×20 · 11 image tiles from a single gastric biopsy slide · 300×300 px each.
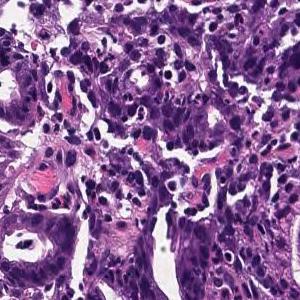
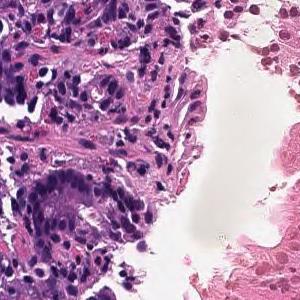
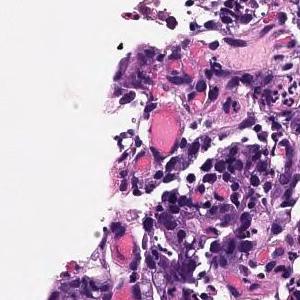
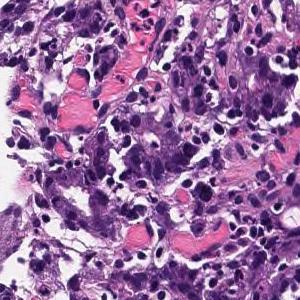
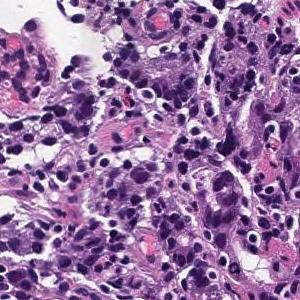
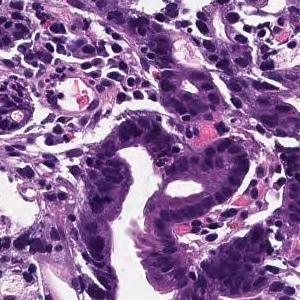
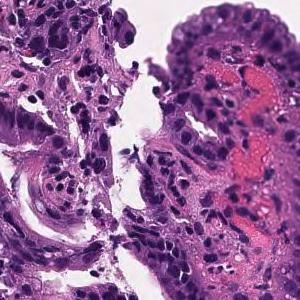
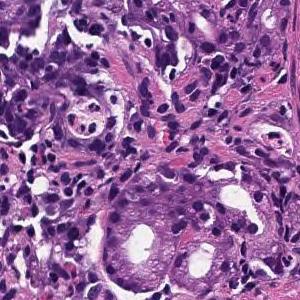
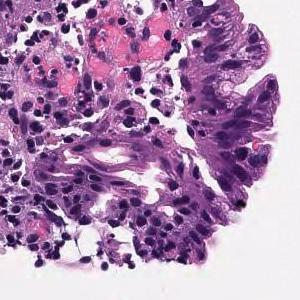
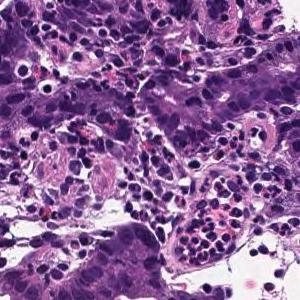
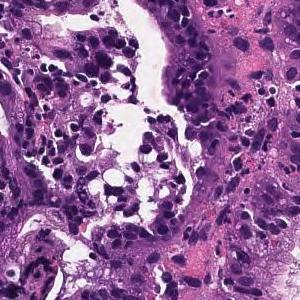
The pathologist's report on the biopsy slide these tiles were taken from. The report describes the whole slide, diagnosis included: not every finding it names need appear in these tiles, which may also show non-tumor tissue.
In the superficial epithelium, tumor tissue that invades by forming medium-sized to small, irregular ducts is observed. moderately differentiated tubular adenocarcinoma.
